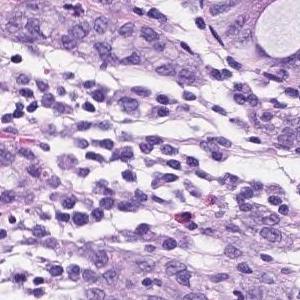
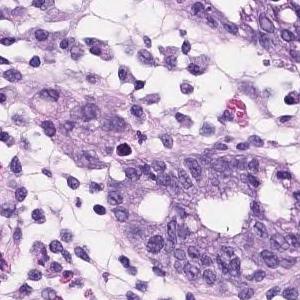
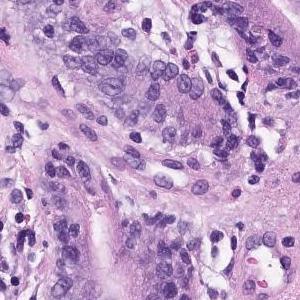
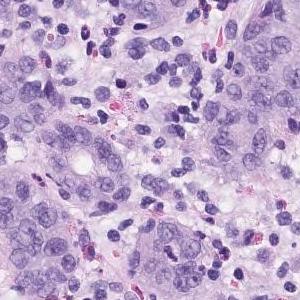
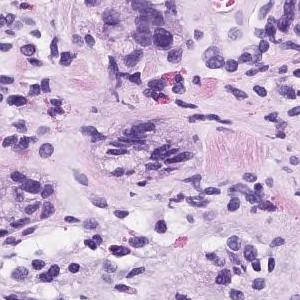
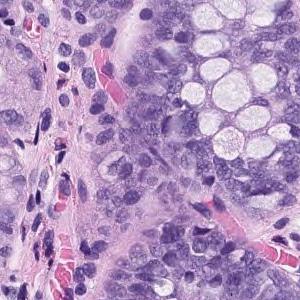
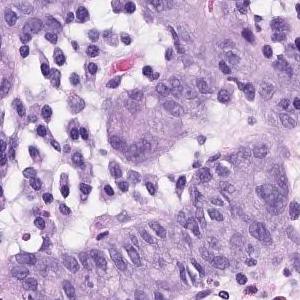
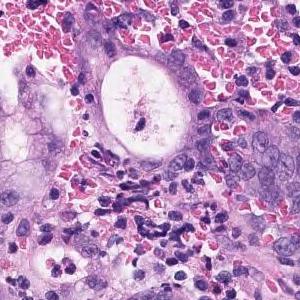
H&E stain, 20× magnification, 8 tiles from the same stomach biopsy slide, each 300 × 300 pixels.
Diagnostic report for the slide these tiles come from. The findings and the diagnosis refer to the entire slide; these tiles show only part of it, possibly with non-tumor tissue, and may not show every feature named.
Atypical l cells with atypical nuclei forming diffuse or small irregular atypical ducts and growing. Moderately to poorly differentiated adenocarcinoma (poorly differentiated adenocarcinoma, solid type moderately differentiated tubular adenocarcinoma)
Histological subtype: Moderately to poorly differentiated adenocarcinoma.
The solid type named here is a Japanese Classification of Gastric Carcinoma category; WHO 2019 calls it tubular adenocarcinoma, poorly differentiated.
